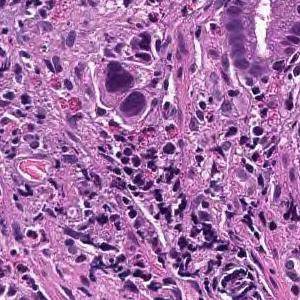
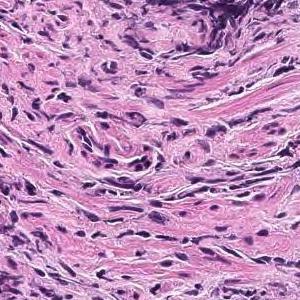
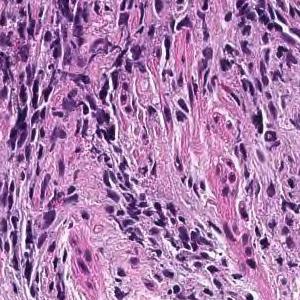
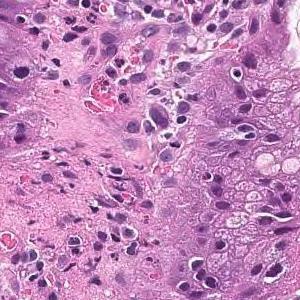
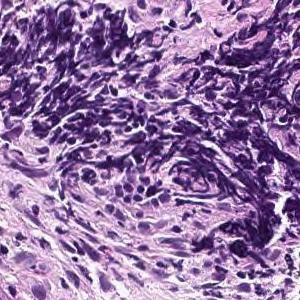
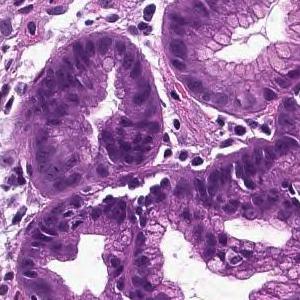
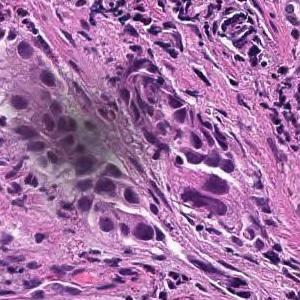
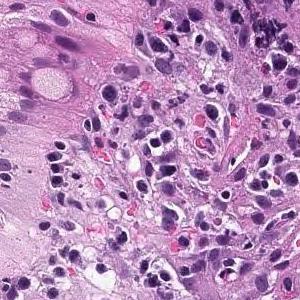
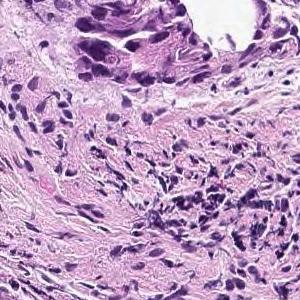
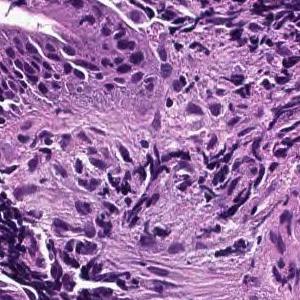
10 patches cut from one gastric biopsy slide.
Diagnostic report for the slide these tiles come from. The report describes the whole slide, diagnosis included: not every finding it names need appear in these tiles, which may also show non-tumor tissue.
In the superficial epithelium, tumor tissue that invades by forming medium-sized to small, irregular ducts is observed. moderately differentiated tubular adenocarcinoma.
